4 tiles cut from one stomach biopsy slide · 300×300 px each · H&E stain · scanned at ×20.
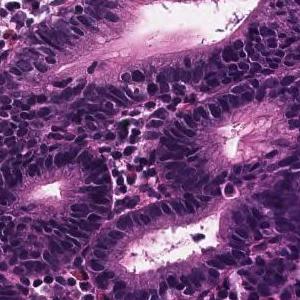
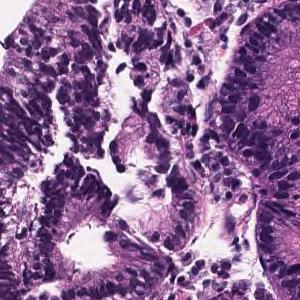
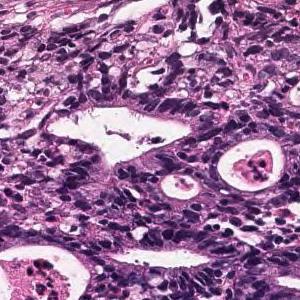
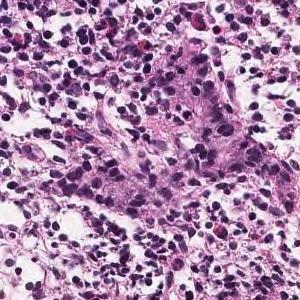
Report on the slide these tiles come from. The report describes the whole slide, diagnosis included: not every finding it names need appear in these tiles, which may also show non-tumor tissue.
Atypical epithelium with swelling of the nucleus and pseudostratified shows tumor tissue that grows with irregular branching. Well differentiated tubular adenocarcinoma
